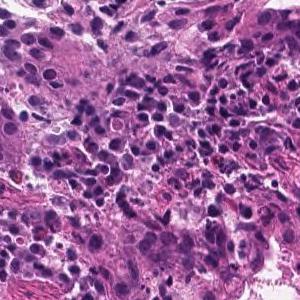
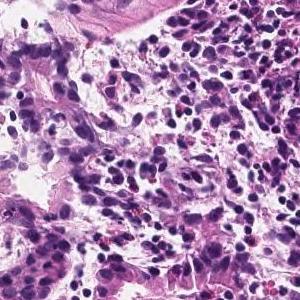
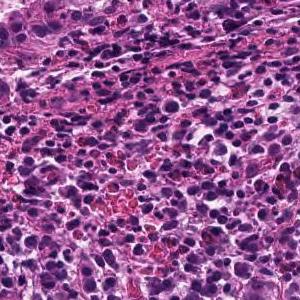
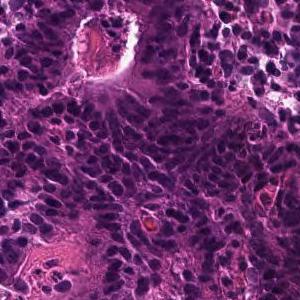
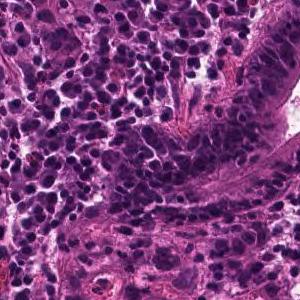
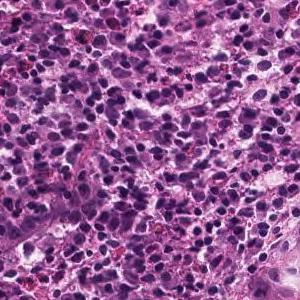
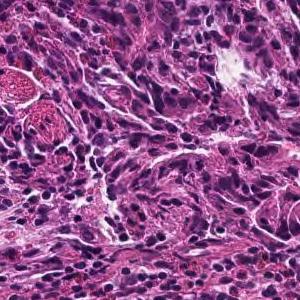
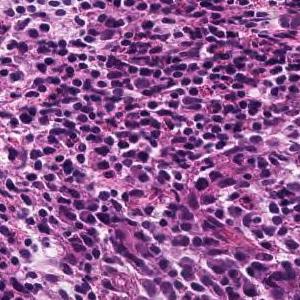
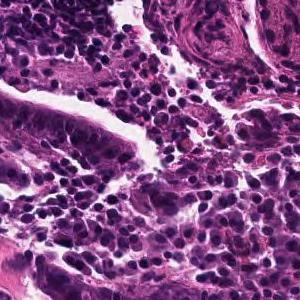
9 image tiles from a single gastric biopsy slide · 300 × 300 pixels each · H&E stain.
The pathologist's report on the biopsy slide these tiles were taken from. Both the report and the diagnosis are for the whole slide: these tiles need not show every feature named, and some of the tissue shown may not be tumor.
Tumor tissue consisting of medium-sized, cord-like or irregular glandular infiltration is observed in the superficial epithelium. Poorly differentiated adenocarcinoma, non-solid type or moderately differentiated tubular adenocarcinoma
Dataset label: poorly differentiated adenocarcinoma, non-solid type.
"Non-solid type" is a category of the Japanese Classification of Gastric Carcinoma.
